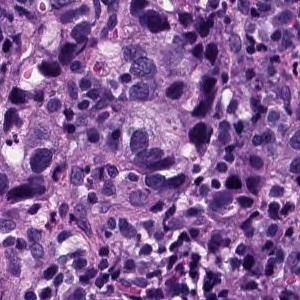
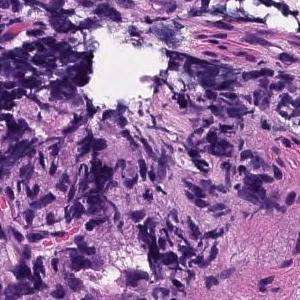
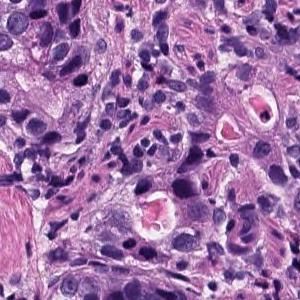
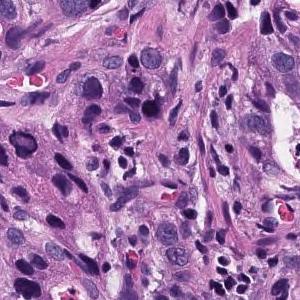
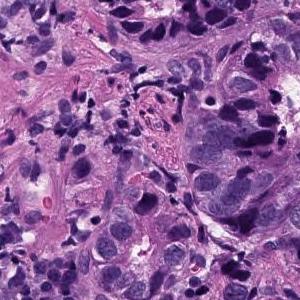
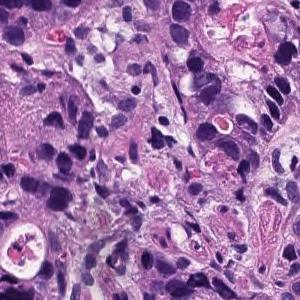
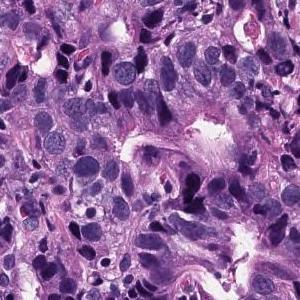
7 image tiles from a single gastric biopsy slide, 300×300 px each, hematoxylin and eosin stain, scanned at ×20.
Diagnostic report for the slide these tiles come from. The report and the diagnosis describe the slide as a whole, so these tiles may not show every feature named and may include non-tumor tissue.
In the epithelium, tumor tissue in which medium to small irregular gland ducts fuse with each other and infiltrate the submucosa. moderately differentiated tubular adenocarcinoma
